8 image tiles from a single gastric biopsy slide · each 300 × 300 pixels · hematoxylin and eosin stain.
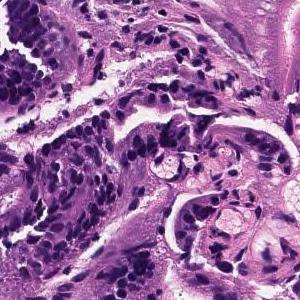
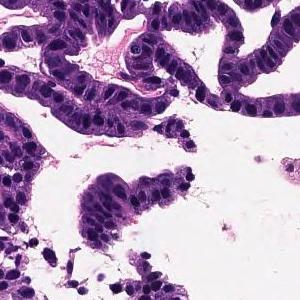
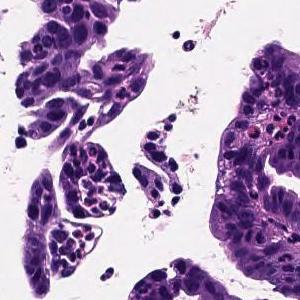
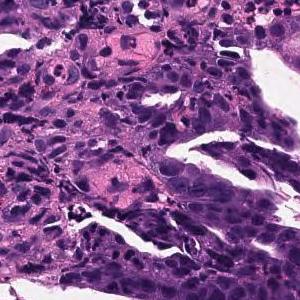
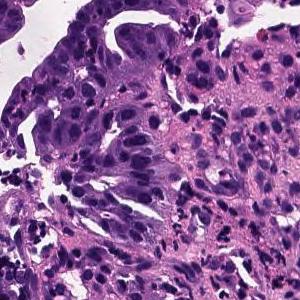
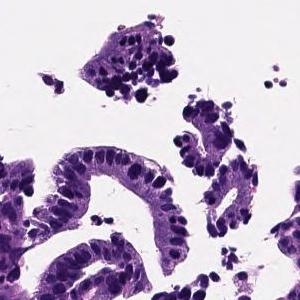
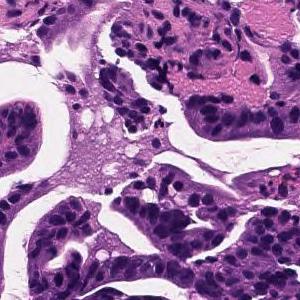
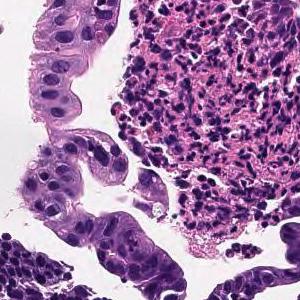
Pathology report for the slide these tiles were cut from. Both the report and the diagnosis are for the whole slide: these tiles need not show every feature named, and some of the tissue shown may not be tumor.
Tumor cells are large, highly columnar, large club-shaped nuclei, and are associated with chromatin aggregation. Papillary adenocarcinoma.
